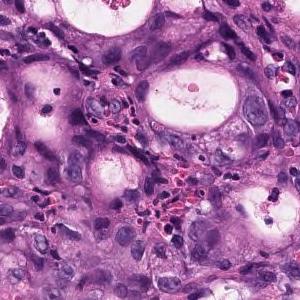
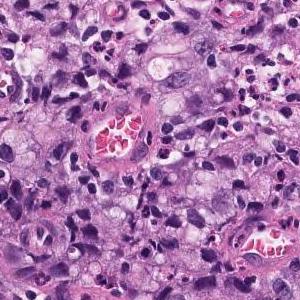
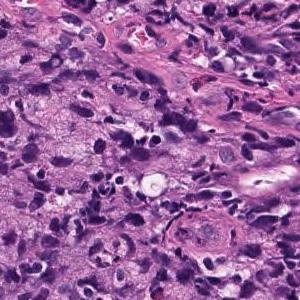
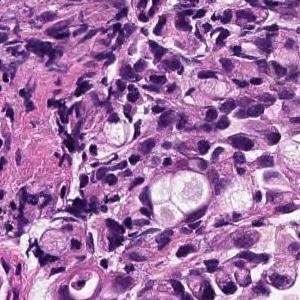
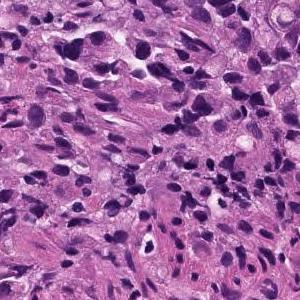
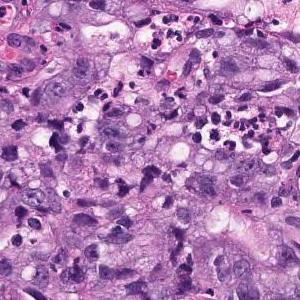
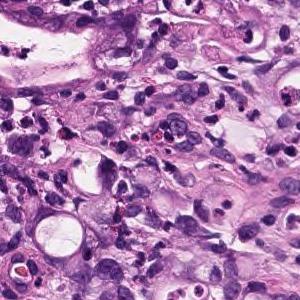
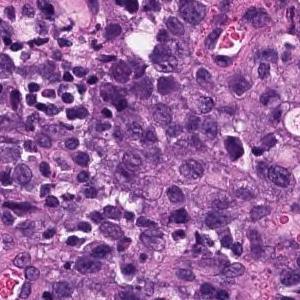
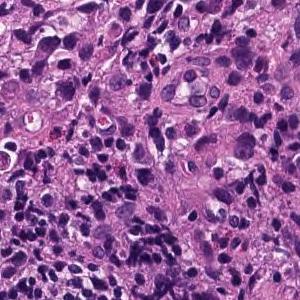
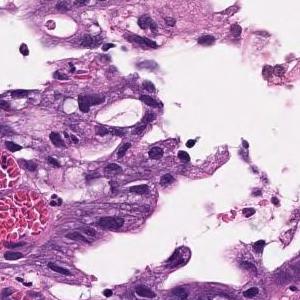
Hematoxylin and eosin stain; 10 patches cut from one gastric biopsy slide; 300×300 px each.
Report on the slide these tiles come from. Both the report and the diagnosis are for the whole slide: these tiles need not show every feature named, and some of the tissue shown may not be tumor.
Atypical epithelium forms irregularly fused gland ducts and proliferates. Poorly differentiated adenocarcinoma.
Classified as poorly differentiated adenocarcinoma, non-solid type.
The term "non-solid type" comes from the Japanese Classification of Gastric Carcinoma.
